H&E stain, 4 tiles cut from one stomach biopsy slide.
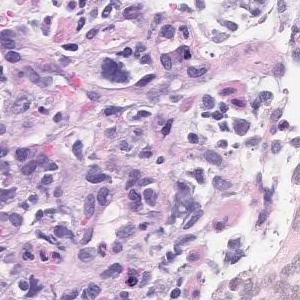
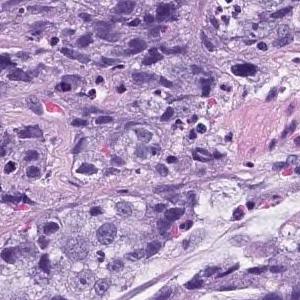
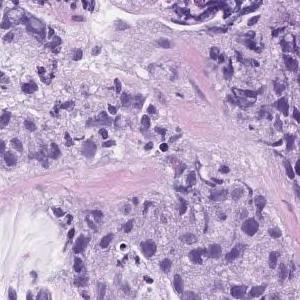
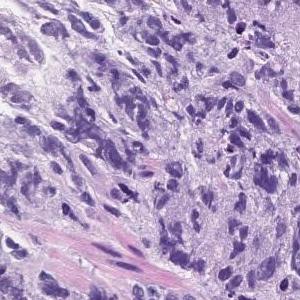
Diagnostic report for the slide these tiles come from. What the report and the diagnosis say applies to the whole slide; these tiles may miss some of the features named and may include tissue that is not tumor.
Atypical l cells with atypical nuclei forming solid vesicles or small irregular atypical ducts that proliferate in a complex manner. poorly differentiated adenocarcinoma, solid type, moderately differentiated tubular adenocarcinoma
"Solid type" is a category of the Japanese Classification of Gastric Carcinoma; in the WHO 2019 classification it is tubular adenocarcinoma, poorly differentiated.
